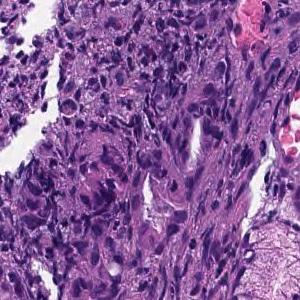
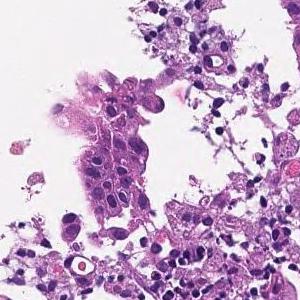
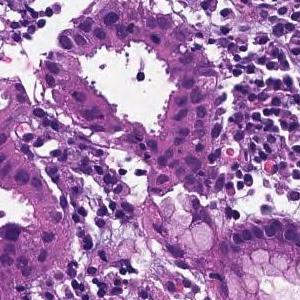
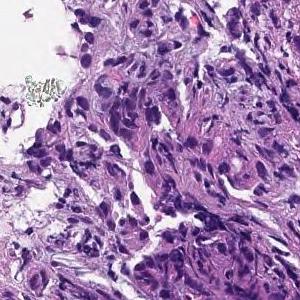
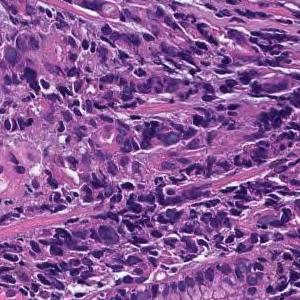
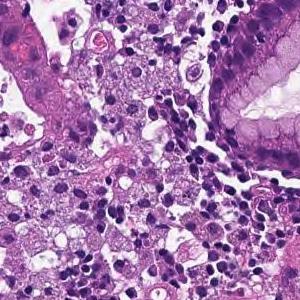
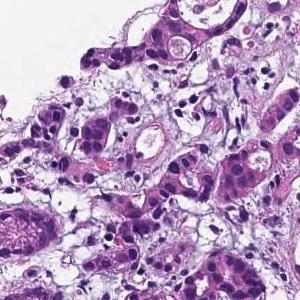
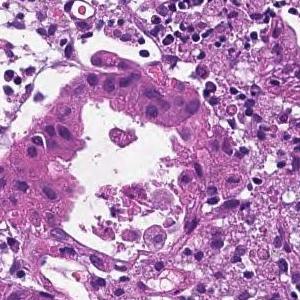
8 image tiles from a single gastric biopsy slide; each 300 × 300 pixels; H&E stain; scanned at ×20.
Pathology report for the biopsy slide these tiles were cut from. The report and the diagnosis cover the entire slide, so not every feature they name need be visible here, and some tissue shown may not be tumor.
Tumor tissue consisting of medium-sized, cord-like or irregular glandular infiltration is observed in the superficial epithelium. Poorly differentiated adenocarcinoma, non-solid type or moderately differentiated tubular adenocarcinoma
Tumor subtype: moderately to poorly differentiated adenocarcinoma.
"Non-solid type" is a category of the Japanese Classification of Gastric Carcinoma.
